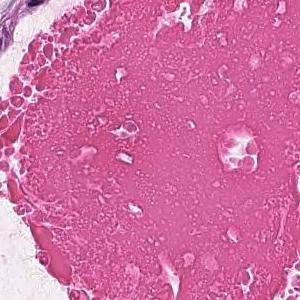
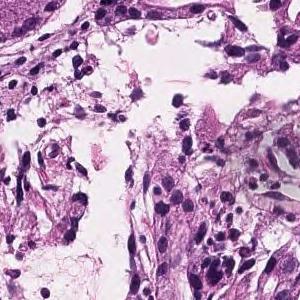
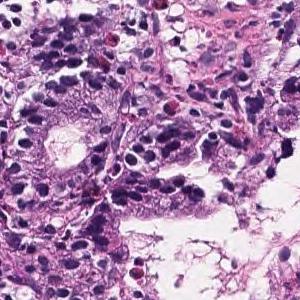
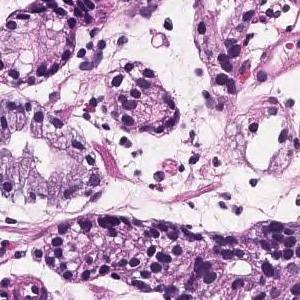
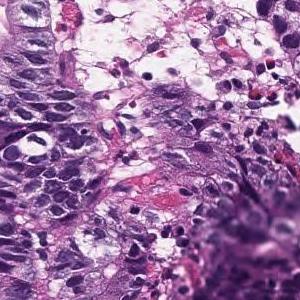
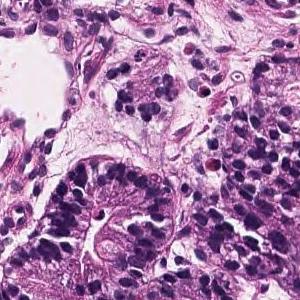
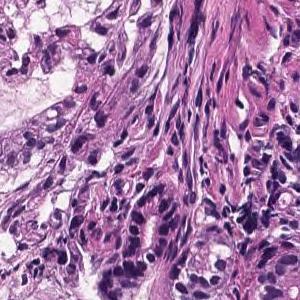
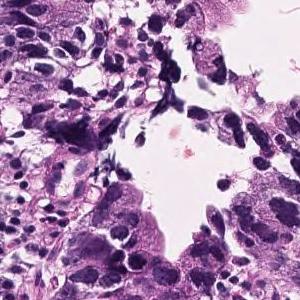
20× magnification; 8 tiles cut from one stomach biopsy slide; 300×300 px each.
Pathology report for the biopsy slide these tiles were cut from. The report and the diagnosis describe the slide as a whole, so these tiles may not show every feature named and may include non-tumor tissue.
Tumor tissue consisting of medium-sized and irregular ducts is observed infiltrating in the superficial epithelium. Tumor cells are highly columnar, with nuclei aligned basolaterally and polarized. Well differentiated tubular adenocarcinoma.
